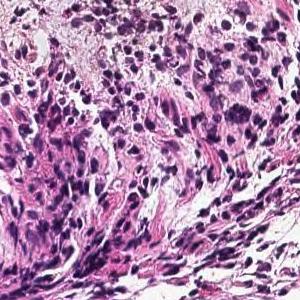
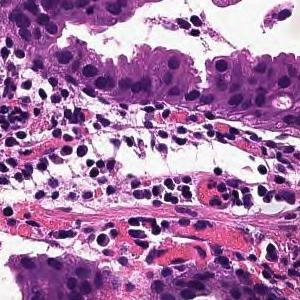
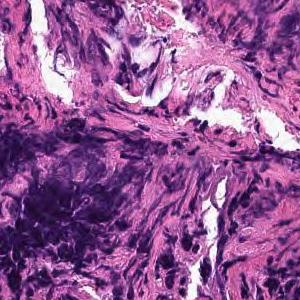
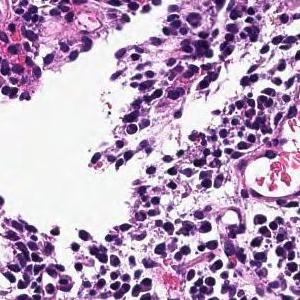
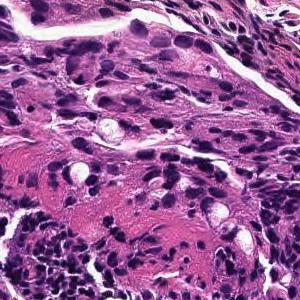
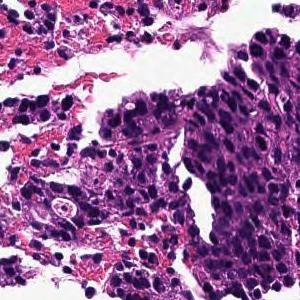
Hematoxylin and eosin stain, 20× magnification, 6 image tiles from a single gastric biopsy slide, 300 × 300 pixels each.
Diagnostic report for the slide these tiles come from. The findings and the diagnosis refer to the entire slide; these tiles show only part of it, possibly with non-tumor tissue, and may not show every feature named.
In the superficial epithelium, tumor tissue that invades by forming medium-sized to small, irregular ducts is observed. moderately differentiated tubular adenocarcinoma.
